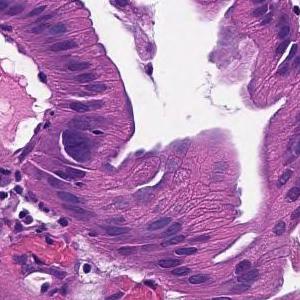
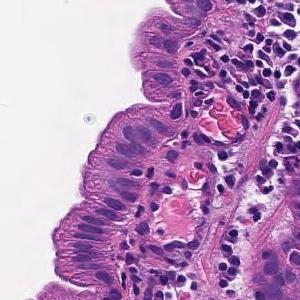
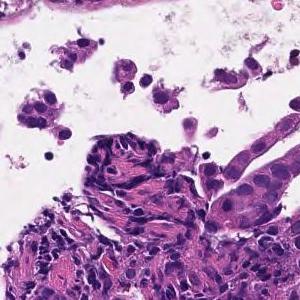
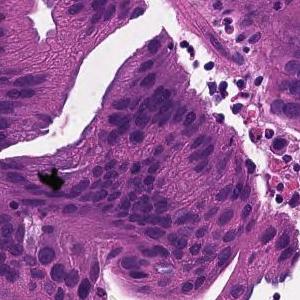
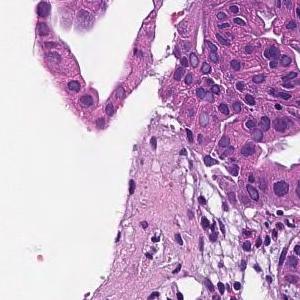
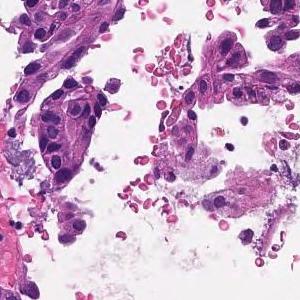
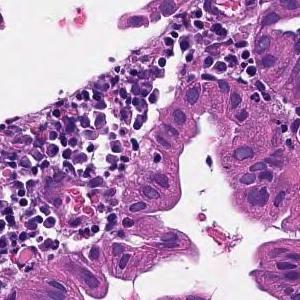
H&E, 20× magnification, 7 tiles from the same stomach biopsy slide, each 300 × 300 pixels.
Pathology report for the biopsy slide these tiles were cut from. The report and the diagnosis cover the entire slide, so not every feature they name need be visible here, and some tissue shown may not be tumor.
On the superficial epithelium, tumor tissue that infiltrates by forming medium-sized papillary or small irregular ducts is observed. Papillary adenocarcinoma
